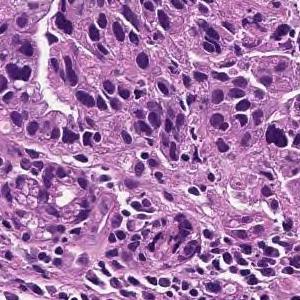
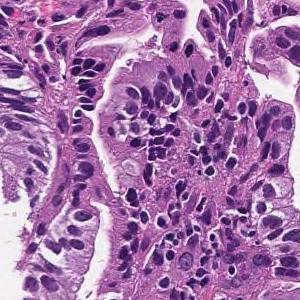
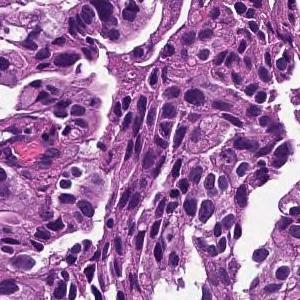
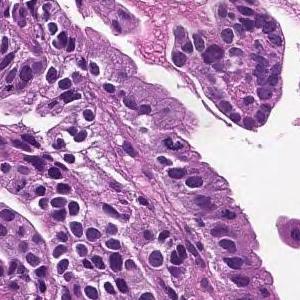
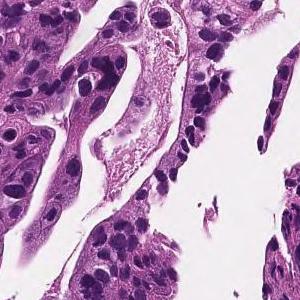
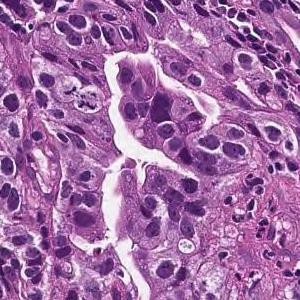
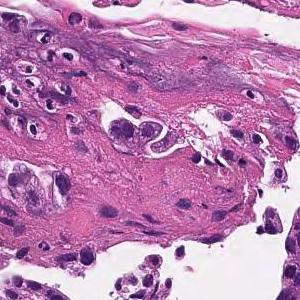
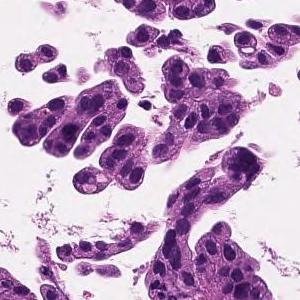
8 tiles cut from one stomach biopsy slide · each 300 × 300 pixels.
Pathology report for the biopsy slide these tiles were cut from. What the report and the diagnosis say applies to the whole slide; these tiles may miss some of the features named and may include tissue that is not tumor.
Medium to small, irregular glandular ducts are formed in the superficial epithelium, and in some cases, the glandular ducts are fused to show solid alveolar lesions and infiltrating tumor tissue is observed. Moderately to poorly differentiated adenocarcinoma.
